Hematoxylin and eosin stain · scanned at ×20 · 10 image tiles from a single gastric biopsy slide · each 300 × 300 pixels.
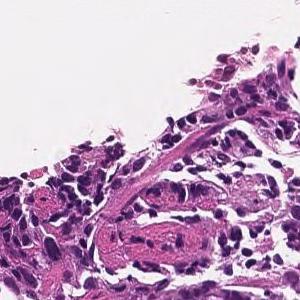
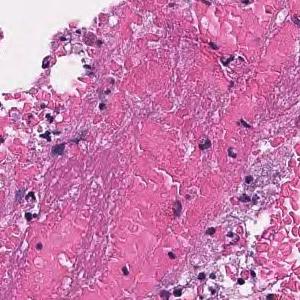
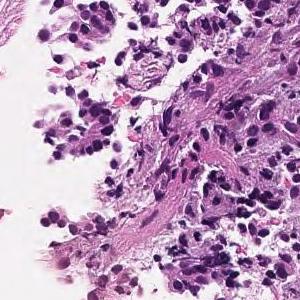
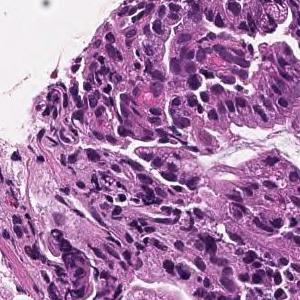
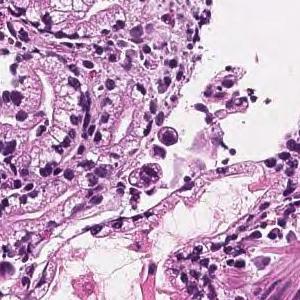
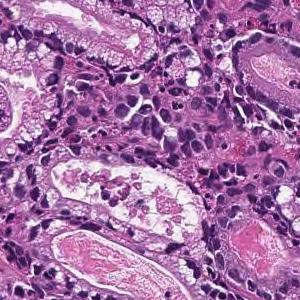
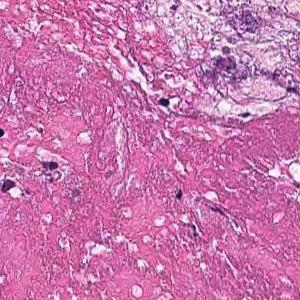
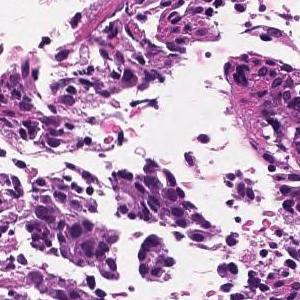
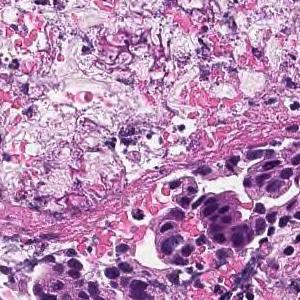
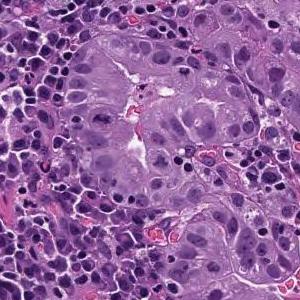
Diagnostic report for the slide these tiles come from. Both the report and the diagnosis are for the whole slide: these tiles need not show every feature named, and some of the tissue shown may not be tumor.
On the superficial epithelium, tumor tissue that infiltrates by forming medium-sized papillary or small irregular ducts is observed. Papillary adenocarcinoma
